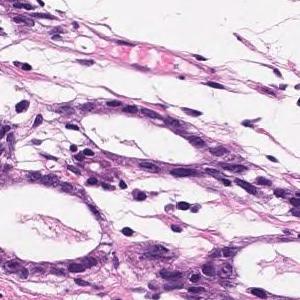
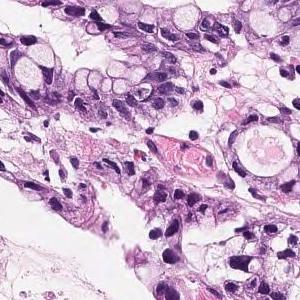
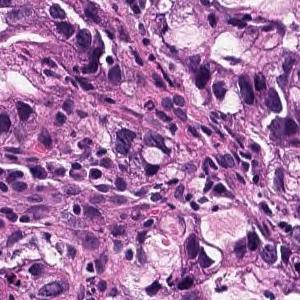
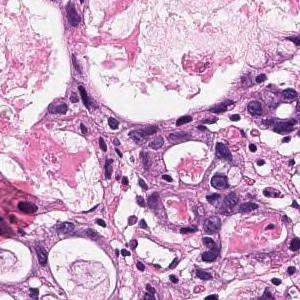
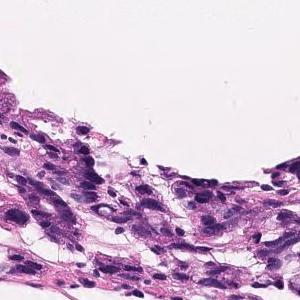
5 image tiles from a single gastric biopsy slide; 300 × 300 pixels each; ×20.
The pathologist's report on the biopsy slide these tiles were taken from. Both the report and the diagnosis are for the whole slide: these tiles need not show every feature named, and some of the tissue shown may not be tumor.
In the superficial epithelium, tumor tissue that invades by forming medium-sized to small, irregular ducts is observed. Moderately differentiated adenocarcinoma.
Subtype: Moderately differentiated tubular adenocarcinoma.
